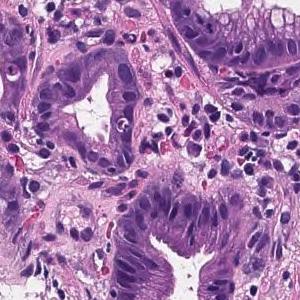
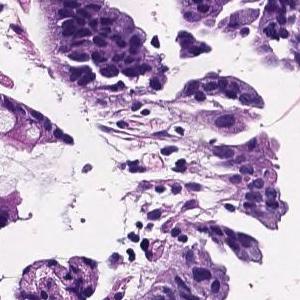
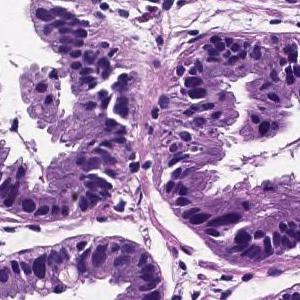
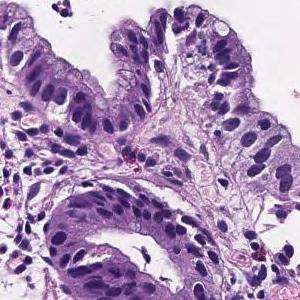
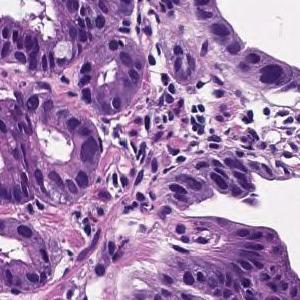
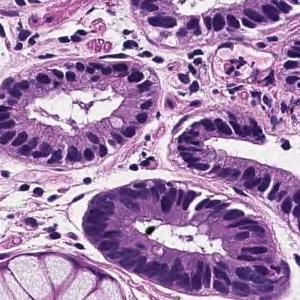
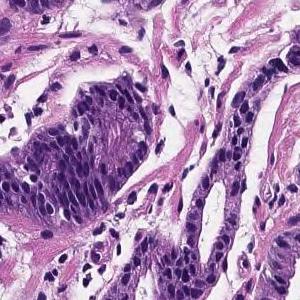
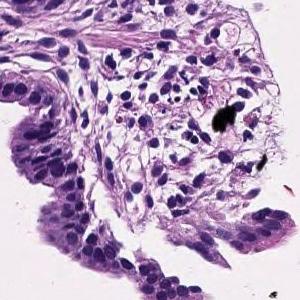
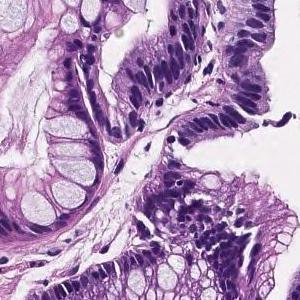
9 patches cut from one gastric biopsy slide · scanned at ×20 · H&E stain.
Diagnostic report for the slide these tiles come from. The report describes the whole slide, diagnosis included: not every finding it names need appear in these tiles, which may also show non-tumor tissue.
Tumor cells are large, highly columnar, large club-shaped nuclei, and are associated with chromatin aggregation. Papillary adenocarcinoma.
